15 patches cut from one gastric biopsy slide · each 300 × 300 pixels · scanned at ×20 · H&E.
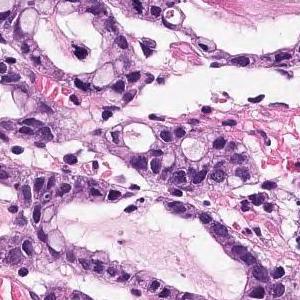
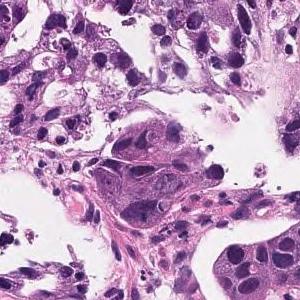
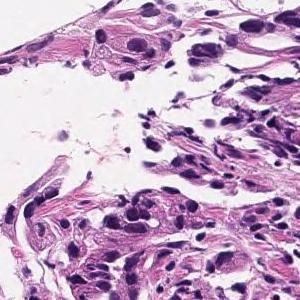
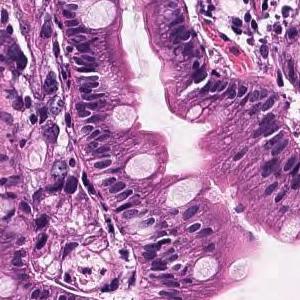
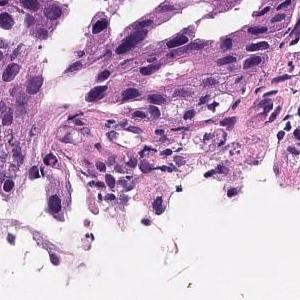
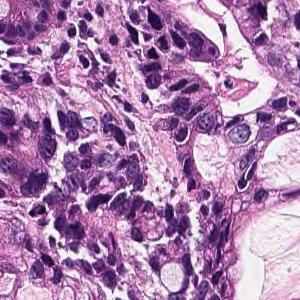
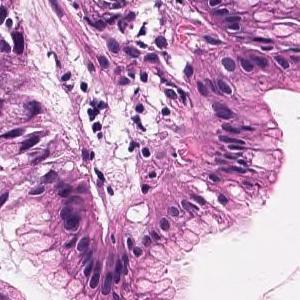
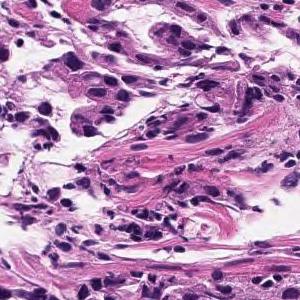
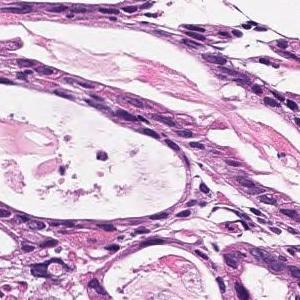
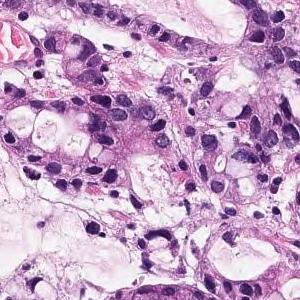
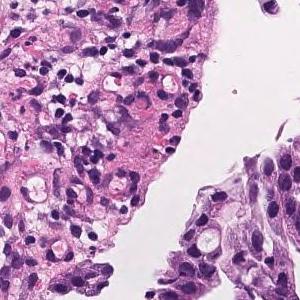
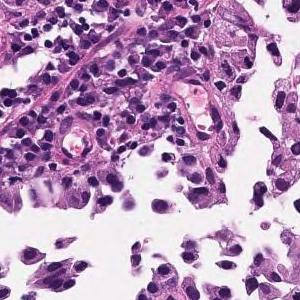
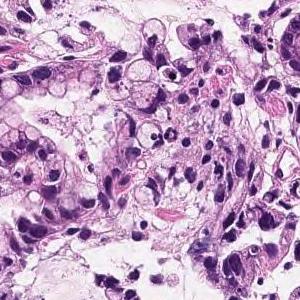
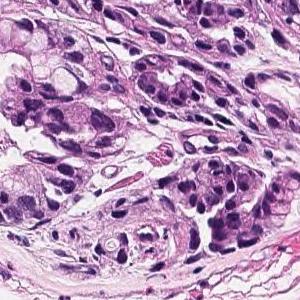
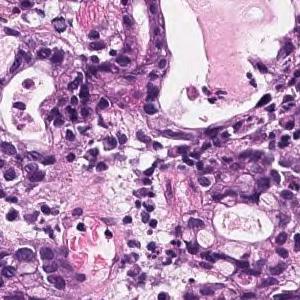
Diagnostic report for the slide these tiles come from. Both the report and the diagnosis are for the whole slide: these tiles need not show every feature named, and some of the tissue shown may not be tumor.
In the superficial epithelium, tumor tissue that invades by forming medium-sized to small, irregular ducts is observed. Moderately differentiated adenocarcinoma.
Histological subtype: Moderately differentiated tubular adenocarcinoma.
